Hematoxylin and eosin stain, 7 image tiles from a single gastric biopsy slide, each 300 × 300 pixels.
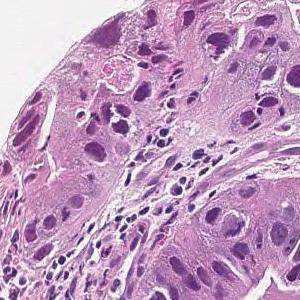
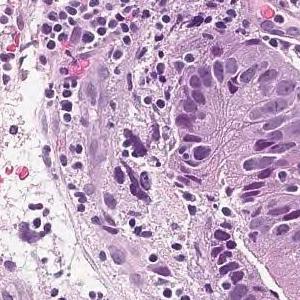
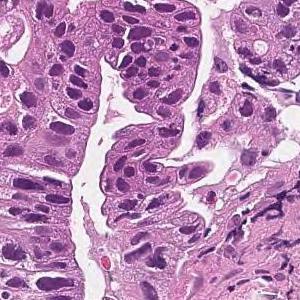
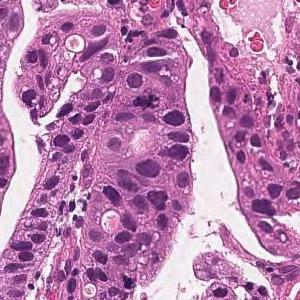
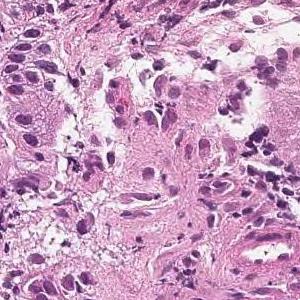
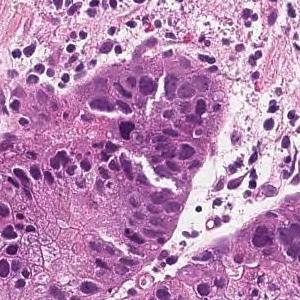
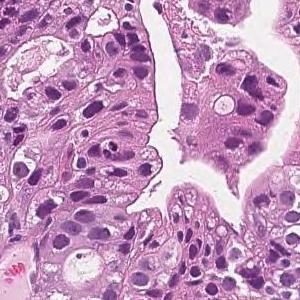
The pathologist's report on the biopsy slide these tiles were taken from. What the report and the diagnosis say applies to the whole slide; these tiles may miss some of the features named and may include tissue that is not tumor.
In the superficial epithelium, tumor tissue that invades by forming medium-sized to small, irregular ducts is observed. moderately differentiated tubular adenocarcinoma.
